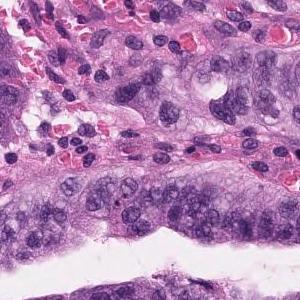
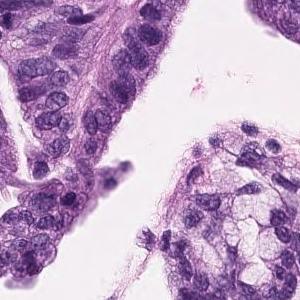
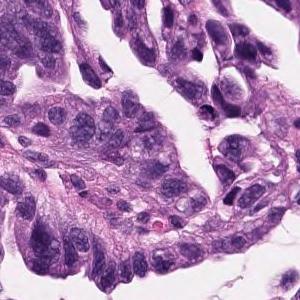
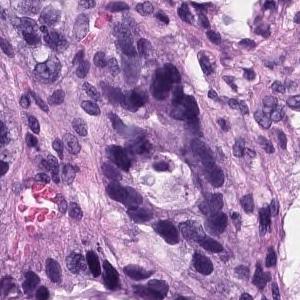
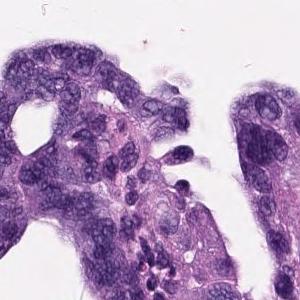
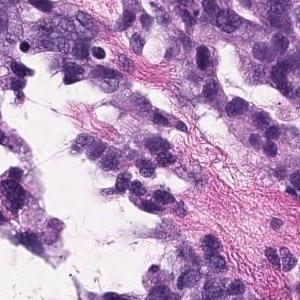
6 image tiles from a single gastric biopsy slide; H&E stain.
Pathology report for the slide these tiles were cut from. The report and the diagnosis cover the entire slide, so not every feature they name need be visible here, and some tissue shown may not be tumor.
Tumor cells are large, highly columnar, large club-shaped nuclei, and are associated with chromatin aggregation. Papillary adenocarcinoma.
